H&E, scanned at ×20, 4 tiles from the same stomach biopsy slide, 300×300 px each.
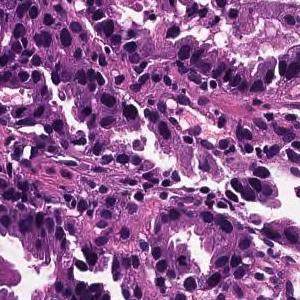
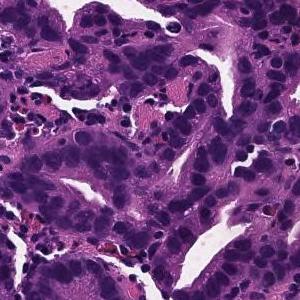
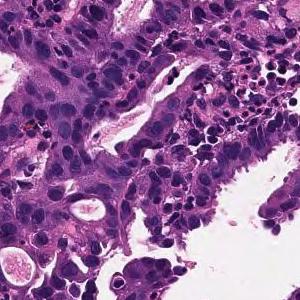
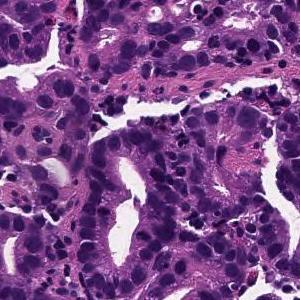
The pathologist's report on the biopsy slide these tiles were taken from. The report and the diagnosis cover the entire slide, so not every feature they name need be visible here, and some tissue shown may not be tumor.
On the superficial epithelium, tumor tissue is found in which medium-sized irregular gland ducts fuse with each other and infiltrate. moderately differentiated tubular adenocarcinoma
